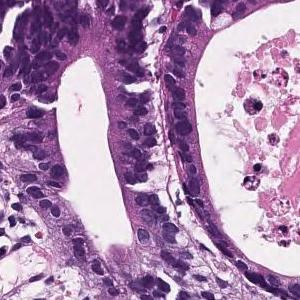
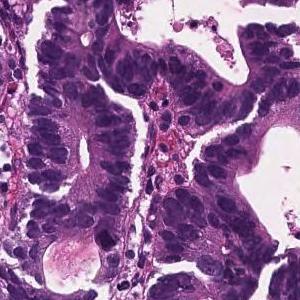
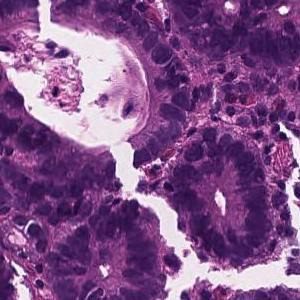
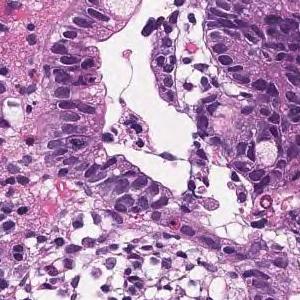
H&E, 4 patches cut from one gastric biopsy slide, 300 × 300 pixels each.
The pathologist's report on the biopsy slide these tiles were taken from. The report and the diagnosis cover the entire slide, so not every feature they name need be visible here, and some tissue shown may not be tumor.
On the superficial epithelium, tumor tissue consisting of large, irregular glandular ducts partially fused and infiltrated is observed. Well to moderately differentiated tubular adenocarcinoma (well differentiated tubular adenocarcinoma, moderately differentiated tubular adenocarcinoma)
Subtype: Well to moderately differentiated tubular adenocarcinoma.
